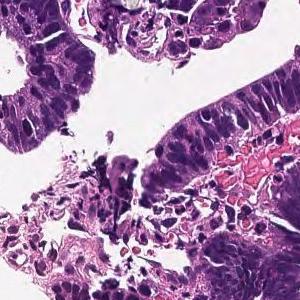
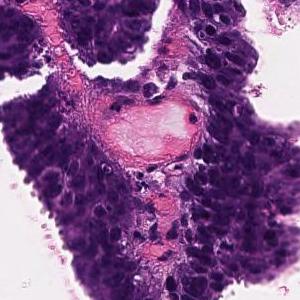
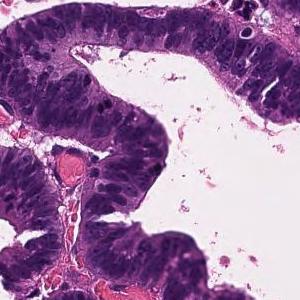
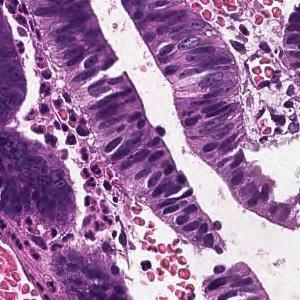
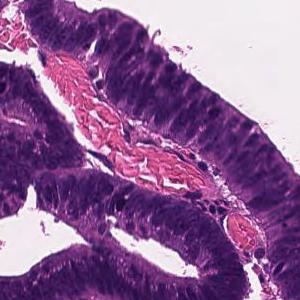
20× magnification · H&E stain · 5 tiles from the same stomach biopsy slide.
The pathologist's report on the biopsy slide these tiles were taken from. The findings and the diagnosis refer to the entire slide; these tiles show only part of it, possibly with non-tumor tissue, and may not show every feature named.
Tumor tissue consisting of large papillary structures is found in the superficial epithelium. Papillary adenocarcinoma.
